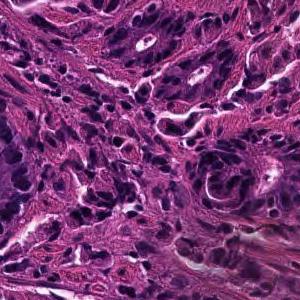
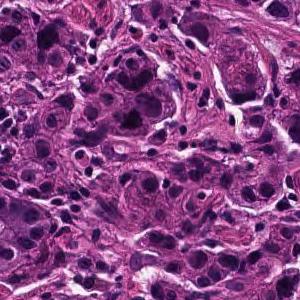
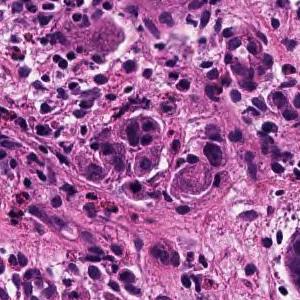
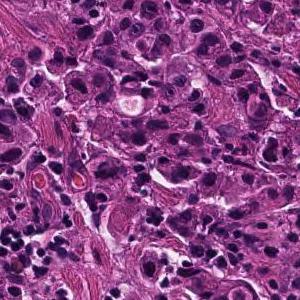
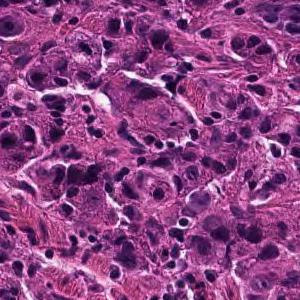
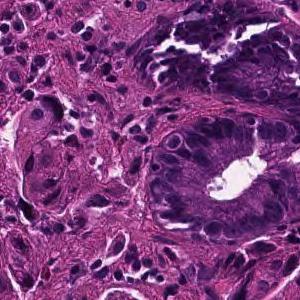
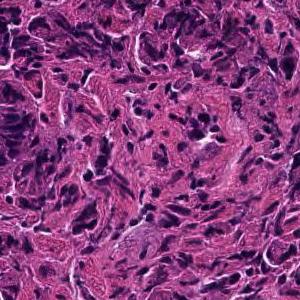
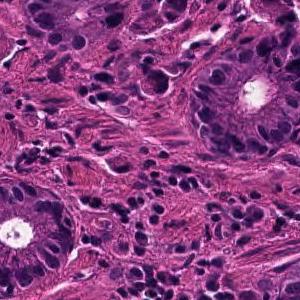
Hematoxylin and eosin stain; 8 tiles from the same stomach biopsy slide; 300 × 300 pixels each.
Pathology report for the biopsy slide these tiles were cut from. The report describes the whole slide, diagnosis included: not every finding it names need appear in these tiles, which may also show non-tumor tissue.
Tumor tissue consisting of cord-like or small, irregular glandular ducts fused and infiltrated is observed in the superficial epithelium. Poorly differentiated adenocarcinoma, non-solid type
The term "non-solid type" comes from the Japanese Classification of Gastric Carcinoma.
